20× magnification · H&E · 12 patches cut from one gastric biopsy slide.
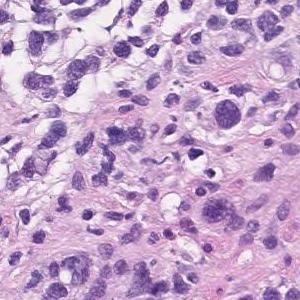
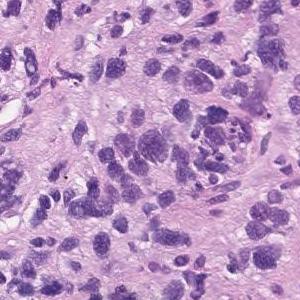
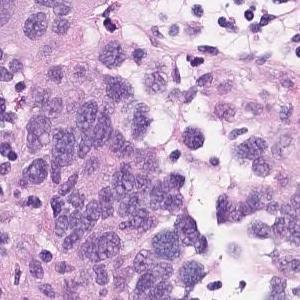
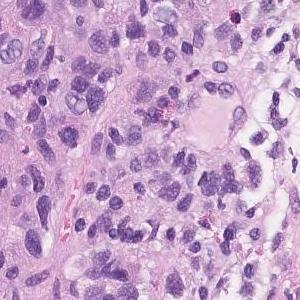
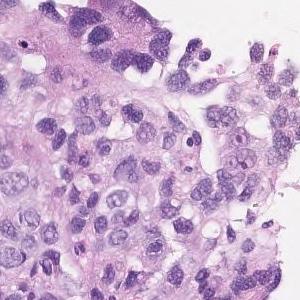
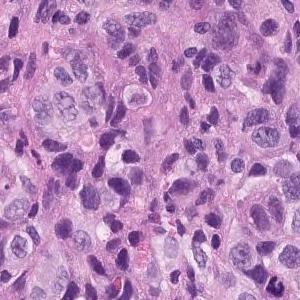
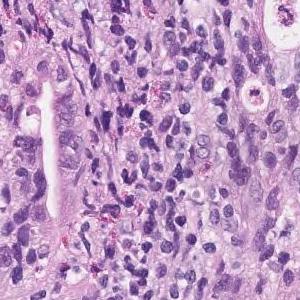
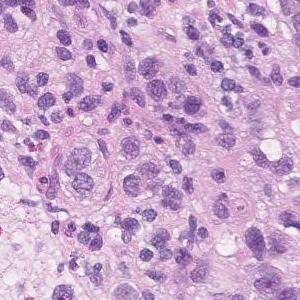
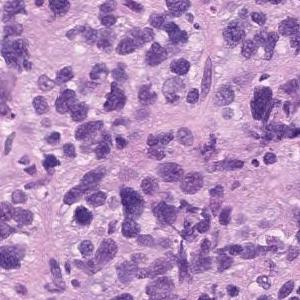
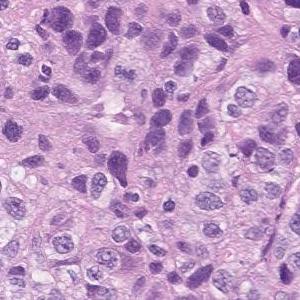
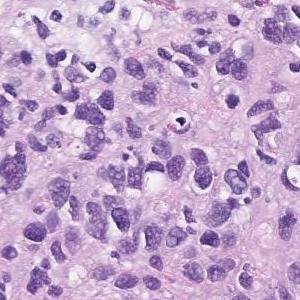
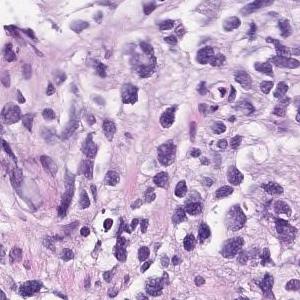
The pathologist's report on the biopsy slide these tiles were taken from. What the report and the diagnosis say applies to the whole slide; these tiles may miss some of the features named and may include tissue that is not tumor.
Atypical l cells with atypical nuclei under the mucosa growing in isolation and scattered. Poorly differentiated adenocarcinoma (poorly differentiated adenocarcinoma, non-solid type)
Histological subtype: Poorly differentiated adenocarcinoma, non-solid type.
"Non-solid type" is a category of the Japanese Classification of Gastric Carcinoma.
